H&E stain · 13 image tiles from a single gastric biopsy slide · each 300 × 300 pixels.
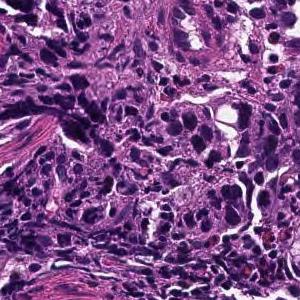
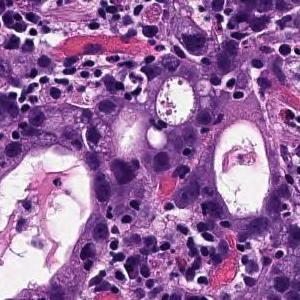
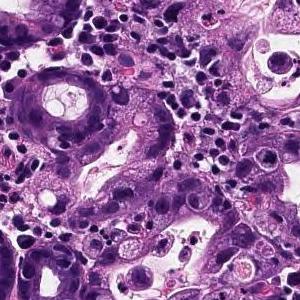
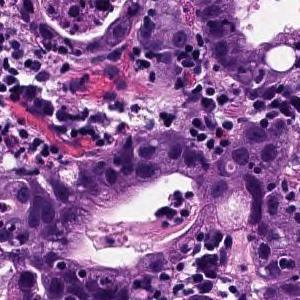
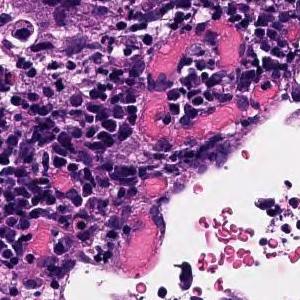
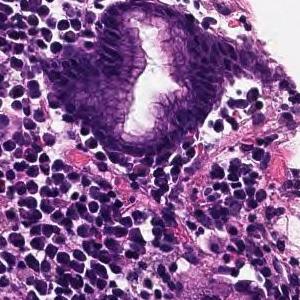
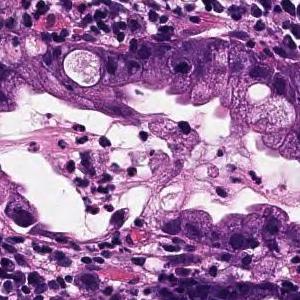
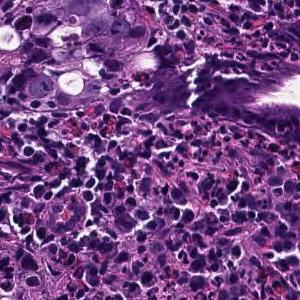
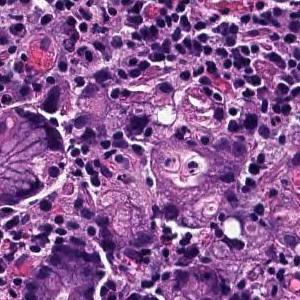
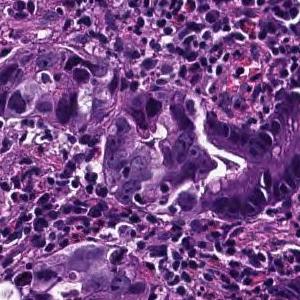
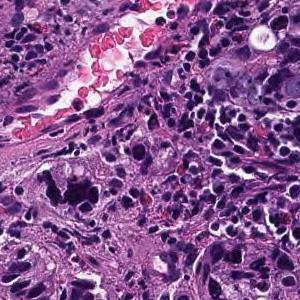
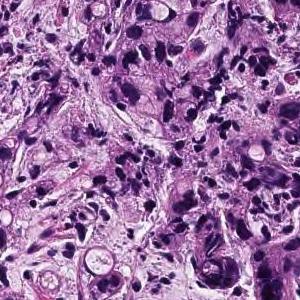
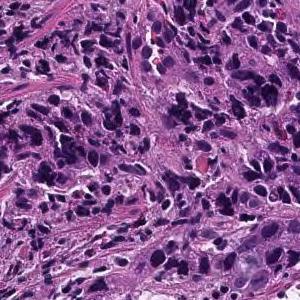
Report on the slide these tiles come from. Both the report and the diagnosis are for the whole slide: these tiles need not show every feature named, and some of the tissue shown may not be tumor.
Tumor tissue consisting of medium-sized, cord-like or irregular glandular infiltration is observed in the superficial epithelium. Poorly differentiated adenocarcinoma, non-solid type or moderately differentiated tubular adenocarcinoma
Histologic type: Moderately to poorly differentiated adenocarcinoma.
The non-solid type named here is a Japanese Classification of Gastric Carcinoma category.
